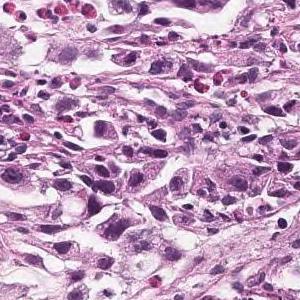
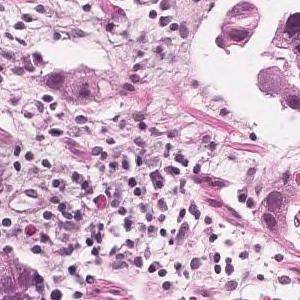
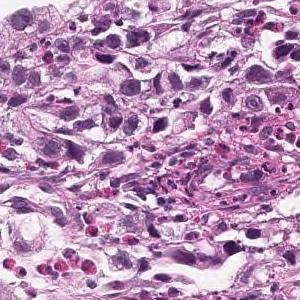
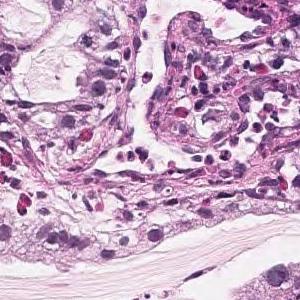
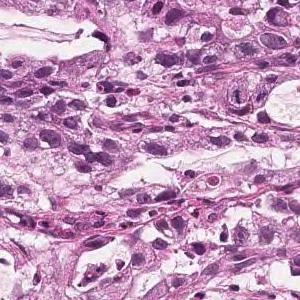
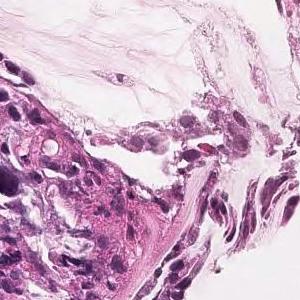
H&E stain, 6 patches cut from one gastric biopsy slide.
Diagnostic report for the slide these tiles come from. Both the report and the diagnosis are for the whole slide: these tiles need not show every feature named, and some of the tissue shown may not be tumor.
Tumor tissue consisting of medium-sized, cord-like or irregular glandular infiltration is observed in the superficial epithelium. Poorly differentiated adenocarcinoma, non-solid type or moderately differentiated tubular adenocarcinoma
"Non-solid type" is a category of the Japanese Classification of Gastric Carcinoma.
